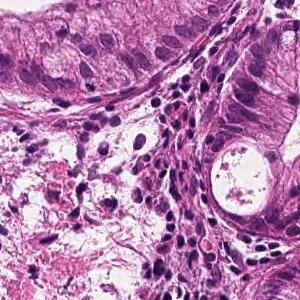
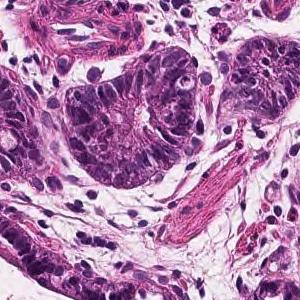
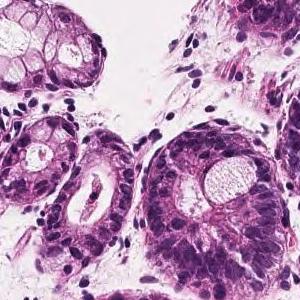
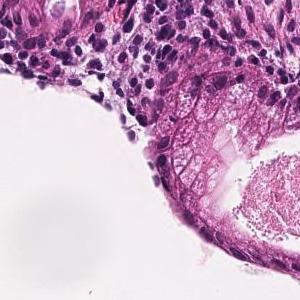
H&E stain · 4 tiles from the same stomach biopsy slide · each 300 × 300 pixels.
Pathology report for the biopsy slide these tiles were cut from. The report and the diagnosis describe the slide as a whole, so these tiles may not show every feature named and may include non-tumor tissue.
In the superficial epithelium, tumor tissue that invades by forming medium-sized to small, irregular ducts is observed. Well differentiated tubular adenocarcinoma.
